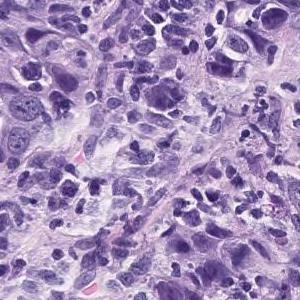
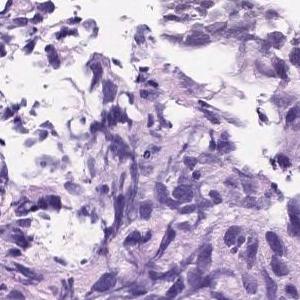
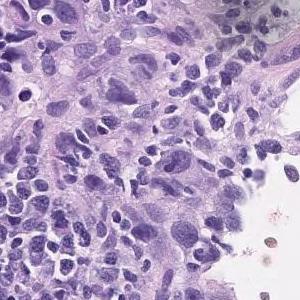
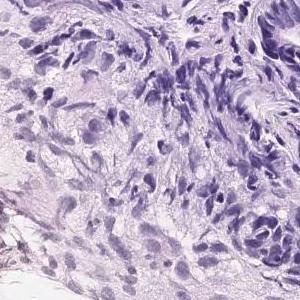
4 tiles from the same stomach biopsy slide · 300×300 px each.
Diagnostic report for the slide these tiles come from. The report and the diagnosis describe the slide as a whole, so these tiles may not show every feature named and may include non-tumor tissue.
The superficial epithelium shows a large sheet-like shape, and some tumor tissue infiltrates with small irregular ducts. Poorly differentiated adenocarcinoma, solid-type
Histological subtype: Poorly differentiated adenocarcinoma, solid type (Japanese Classification of Gastric Carcinoma). The WHO 2019 equivalent is tubular adenocarcinoma, poorly differentiated.
